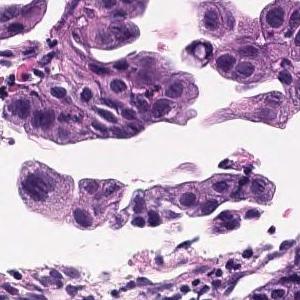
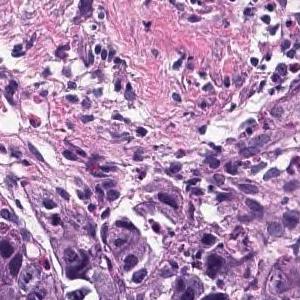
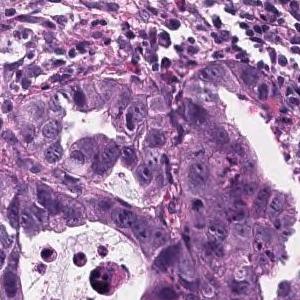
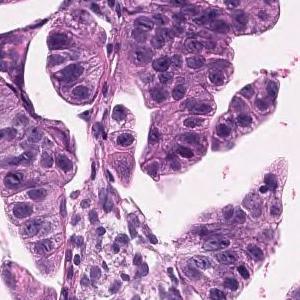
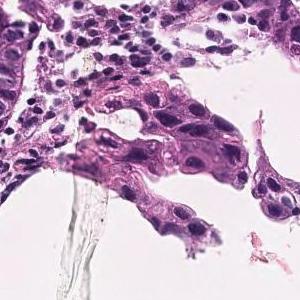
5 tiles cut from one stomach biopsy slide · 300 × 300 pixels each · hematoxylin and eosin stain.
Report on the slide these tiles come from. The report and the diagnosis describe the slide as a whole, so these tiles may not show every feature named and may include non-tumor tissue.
Tumor cells are large, highly columnar, large club-shaped nuclei, and are associated with chromatin aggregation. Papillary adenocarcinoma.
